H&E · 20× magnification · 16 tiles from the same stomach biopsy slide.
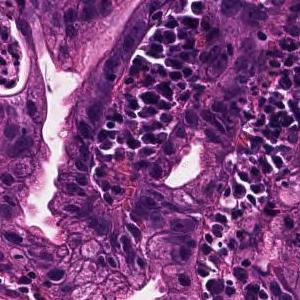
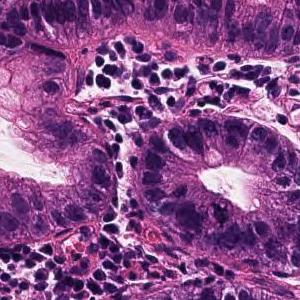
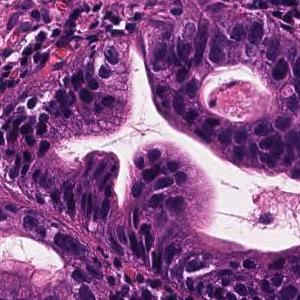
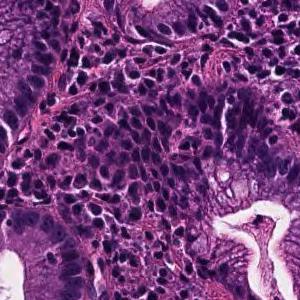
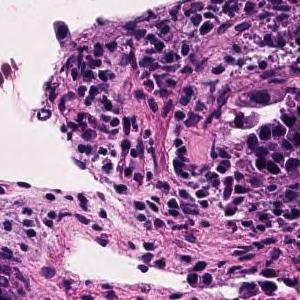
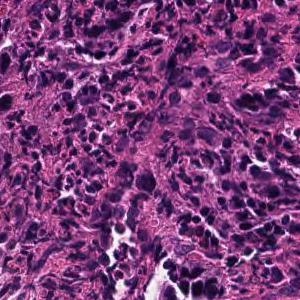
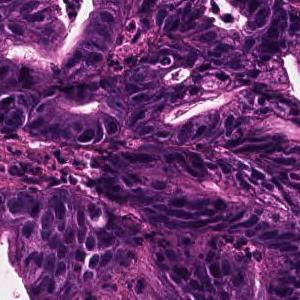
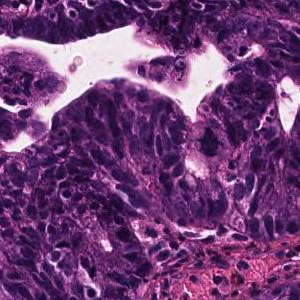
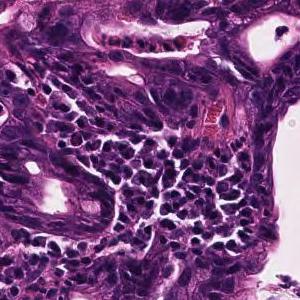
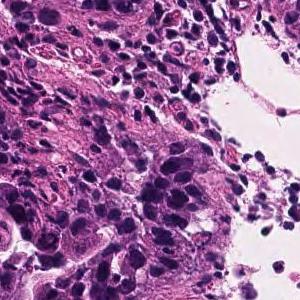
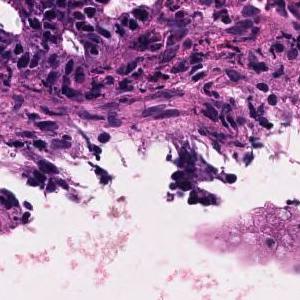
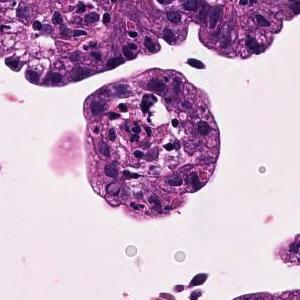
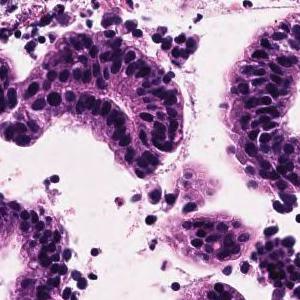
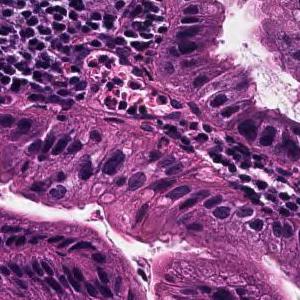
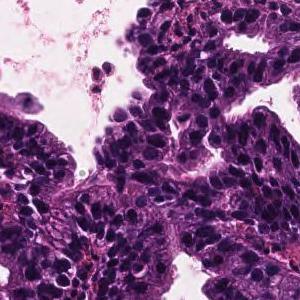
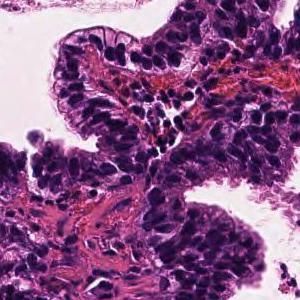
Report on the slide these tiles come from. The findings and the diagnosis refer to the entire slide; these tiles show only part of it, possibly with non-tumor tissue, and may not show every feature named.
Tumor cells are large, highly columnar, large club-shaped nuclei, and are associated with chromatin aggregation. Papillary adenocarcinoma.
